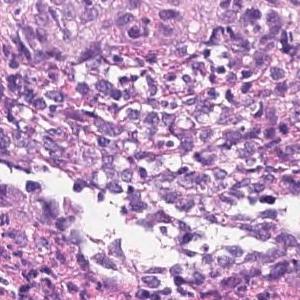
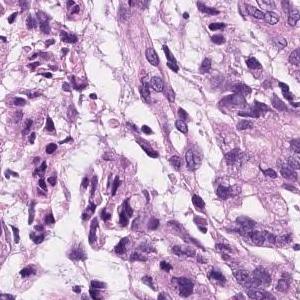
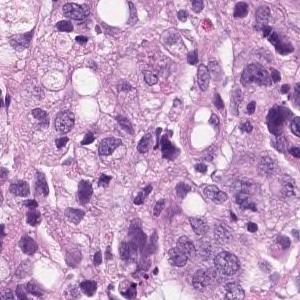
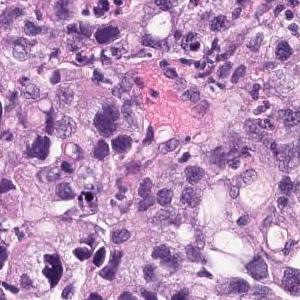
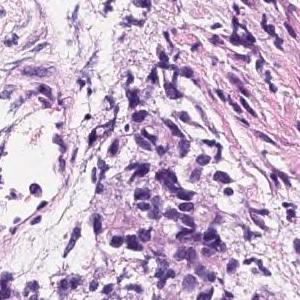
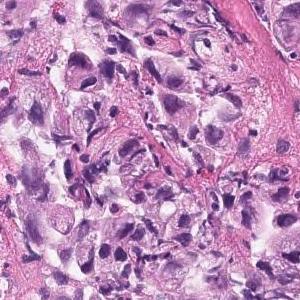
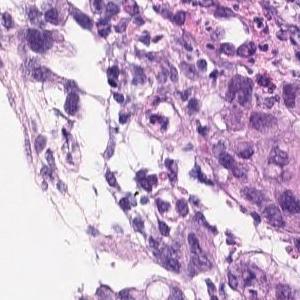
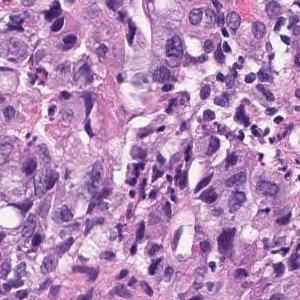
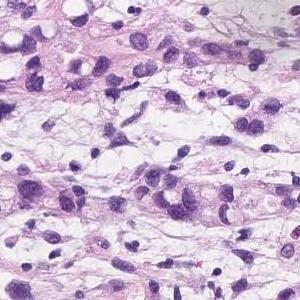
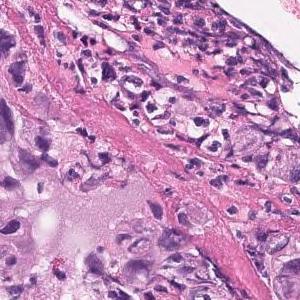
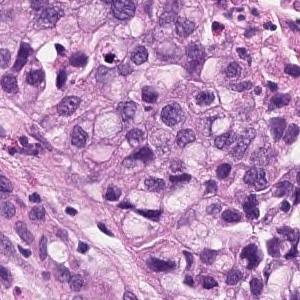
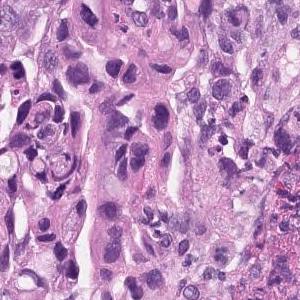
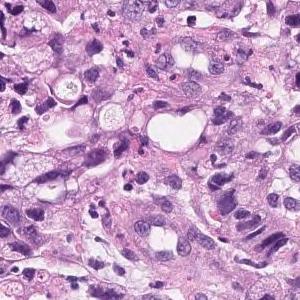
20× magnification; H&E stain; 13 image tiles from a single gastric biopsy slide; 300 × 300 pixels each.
Report on the slide these tiles come from. Both the report and the diagnosis are for the whole slide: these tiles need not show every feature named, and some of the tissue shown may not be tumor.
Group 5, Adenocarcinoma. Poorly differentiated adenocarcinoma, non-solid type
"Non-solid type" is a category of the Japanese Classification of Gastric Carcinoma.
